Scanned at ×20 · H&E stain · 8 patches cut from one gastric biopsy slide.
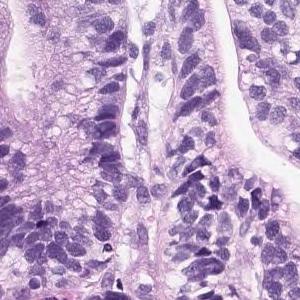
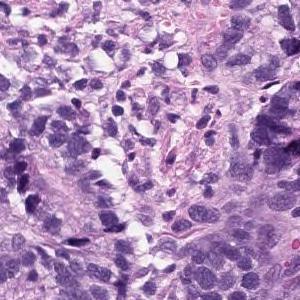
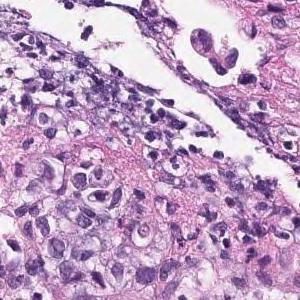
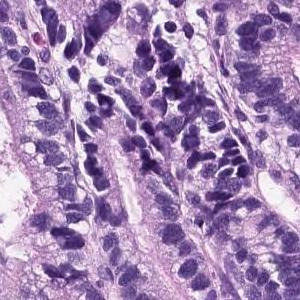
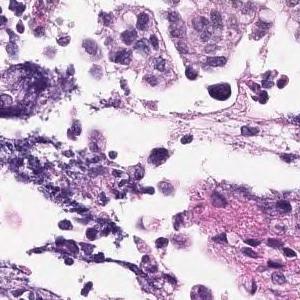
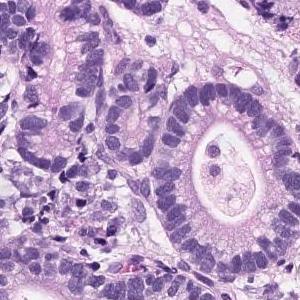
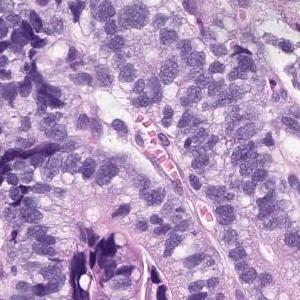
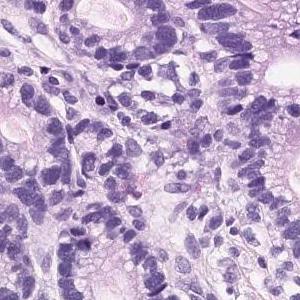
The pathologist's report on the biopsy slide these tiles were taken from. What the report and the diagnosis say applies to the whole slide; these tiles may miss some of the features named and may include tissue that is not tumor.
Hyperplasia of atypical epithelial cells with swelling of the nucleus is observed. Moderately diffentiated tubular adenocarcinoma
Histologic type: Moderately differentiated tubular adenocarcinoma.
